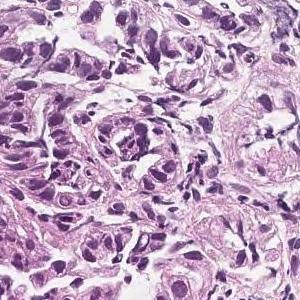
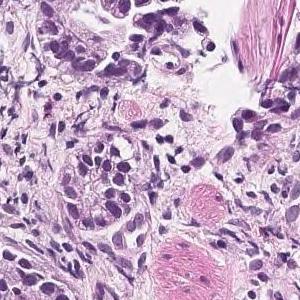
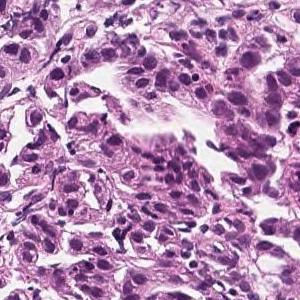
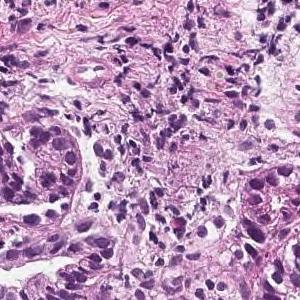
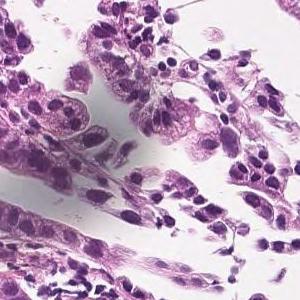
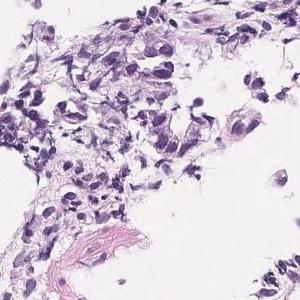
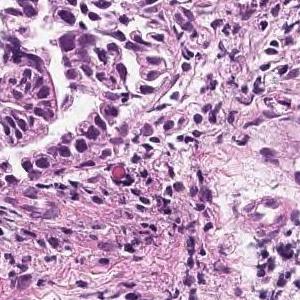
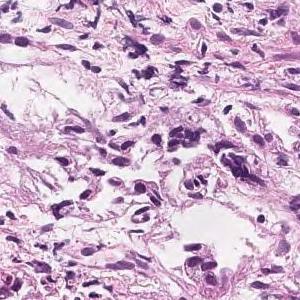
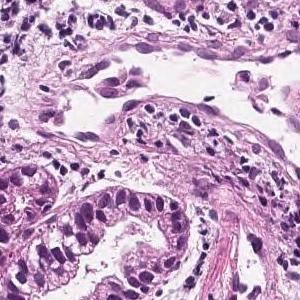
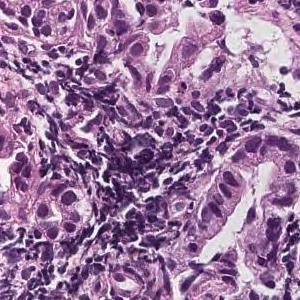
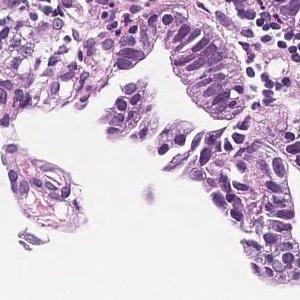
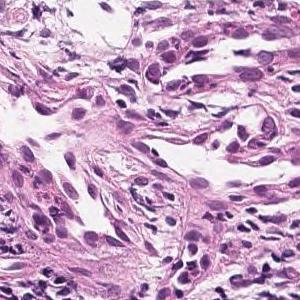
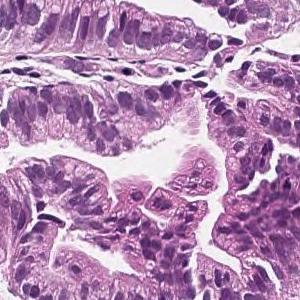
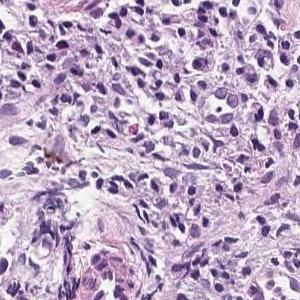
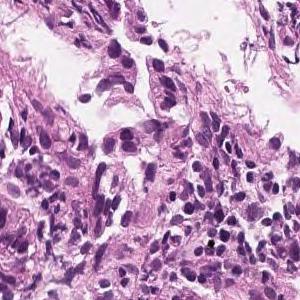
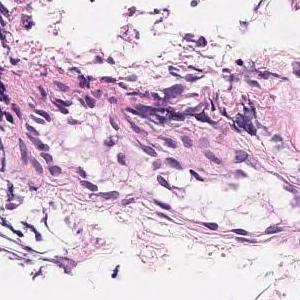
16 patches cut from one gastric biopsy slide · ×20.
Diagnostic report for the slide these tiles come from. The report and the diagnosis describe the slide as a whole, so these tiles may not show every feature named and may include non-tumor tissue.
In the superficial epithelium, tumor tissue that invades by forming medium-sized to small, irregular ducts is observed. moderately differentiated tubular adenocarcinoma.
